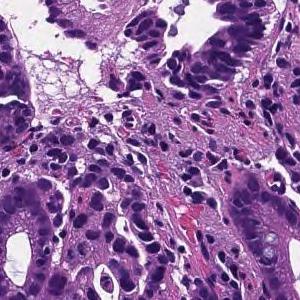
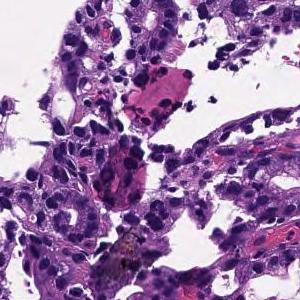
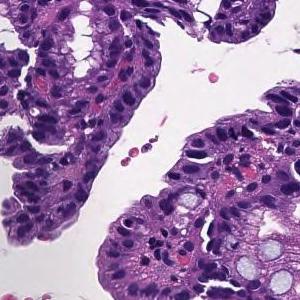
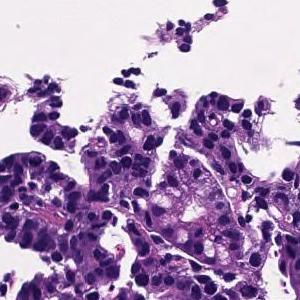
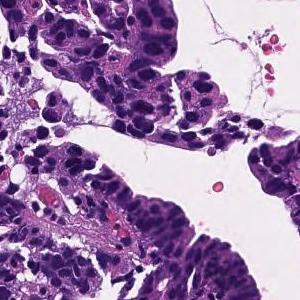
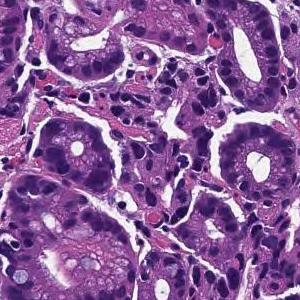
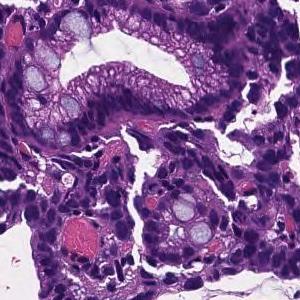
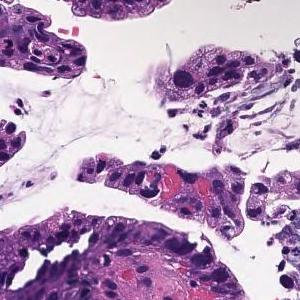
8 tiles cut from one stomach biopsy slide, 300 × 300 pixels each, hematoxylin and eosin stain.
Pathology report for the biopsy slide these tiles were cut from. Both the report and the diagnosis are for the whole slide: these tiles need not show every feature named, and some of the tissue shown may not be tumor.
Tumor cells are large, highly columnar, large club-shaped nuclei, and are associated with chromatin aggregation. Papillary adenocarcinoma.
